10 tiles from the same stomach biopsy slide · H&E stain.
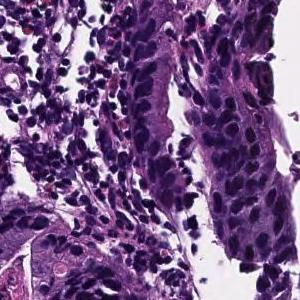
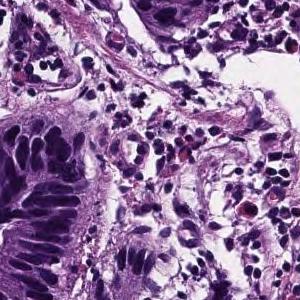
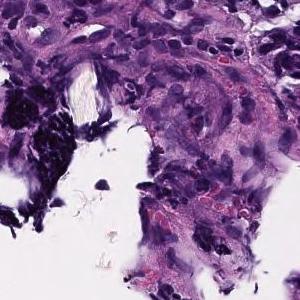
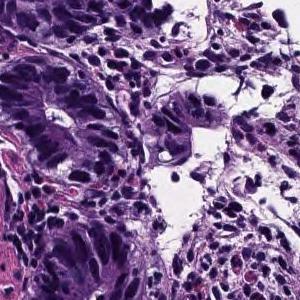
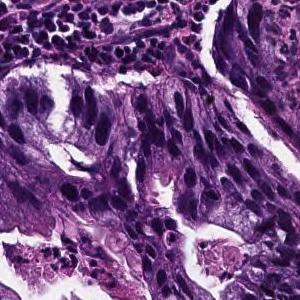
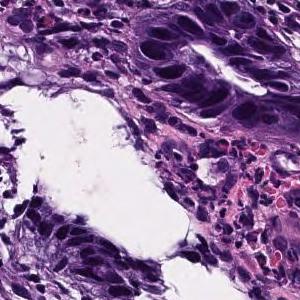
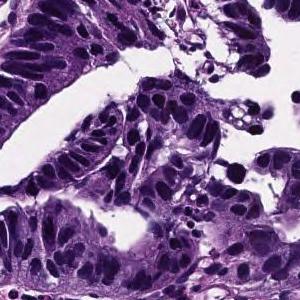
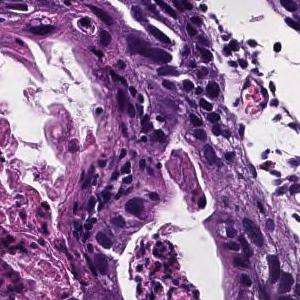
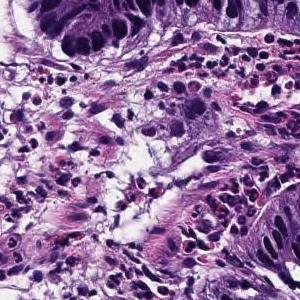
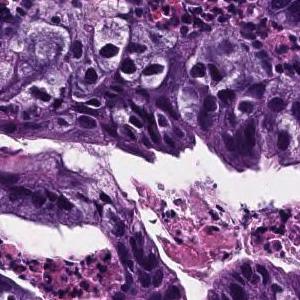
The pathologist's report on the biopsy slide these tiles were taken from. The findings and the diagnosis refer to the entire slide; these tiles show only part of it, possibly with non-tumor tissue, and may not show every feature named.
In the superficial epithelium, tumor tissue that invades by forming medium-sized to small, irregular ducts is observed. Moderately differentiated adenocarcinoma.
Classified as moderately differentiated tubular adenocarcinoma.
